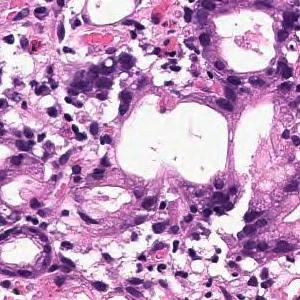
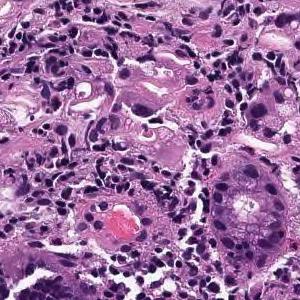
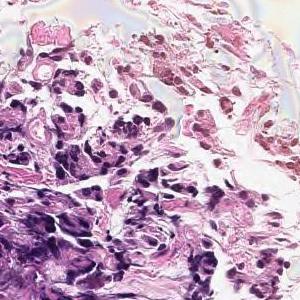
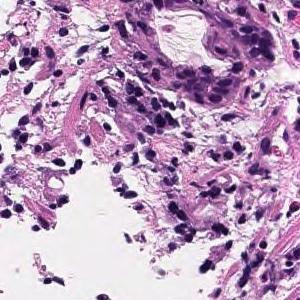
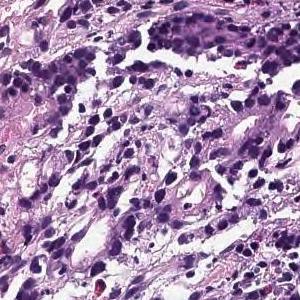
Hematoxylin and eosin stain · ×20 · 5 image tiles from a single gastric biopsy slide · 300 × 300 pixels each.
Pathology report for the slide these tiles were cut from. The findings and the diagnosis refer to the entire slide; these tiles show only part of it, possibly with non-tumor tissue, and may not show every feature named.
Tumor tissue consisting of cord-like or small, irregular glandular ducts fused and infiltrated is observed in the superficial epithelium. Poorly differentiated adenocarcinoma, non-solid type
The non-solid type named here is a Japanese Classification of Gastric Carcinoma category.
